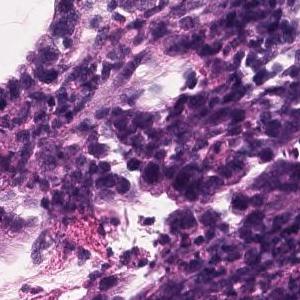
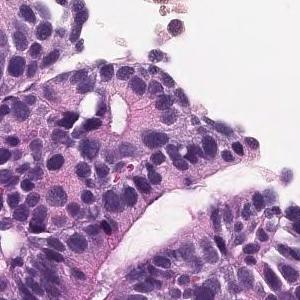
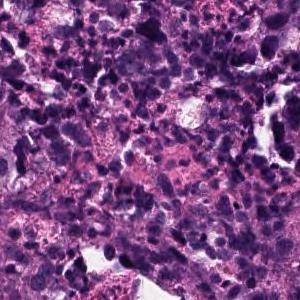
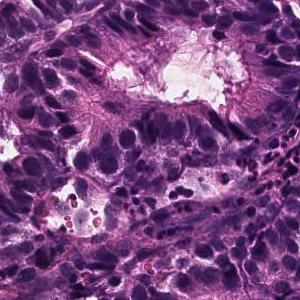
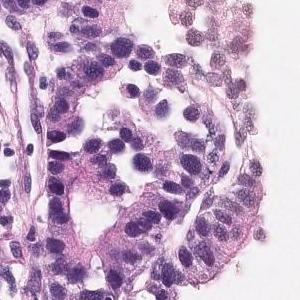
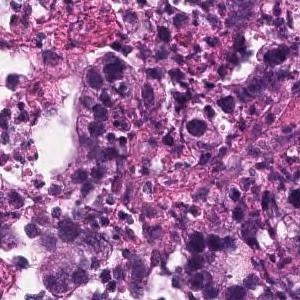
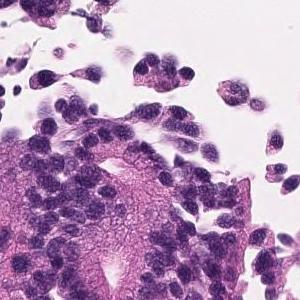
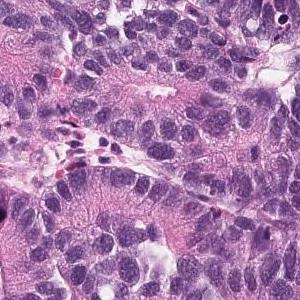
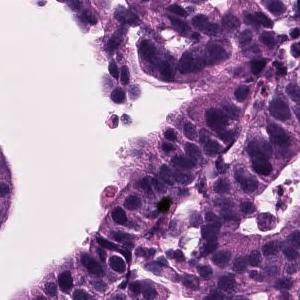
Hematoxylin and eosin stain; ×20; 9 image tiles from a single gastric biopsy slide; 300×300 px each.
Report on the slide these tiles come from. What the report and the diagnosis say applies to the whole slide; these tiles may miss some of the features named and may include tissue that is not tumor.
In the superficial epithelium, tumor tissue that invades by forming medium-sized to small, irregular ducts is observed. moderately differentiated tubular adenocarcinoma.
